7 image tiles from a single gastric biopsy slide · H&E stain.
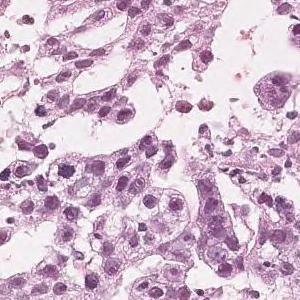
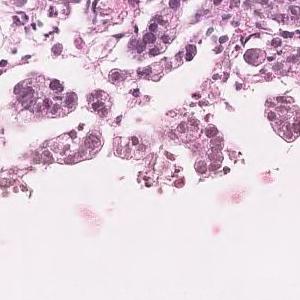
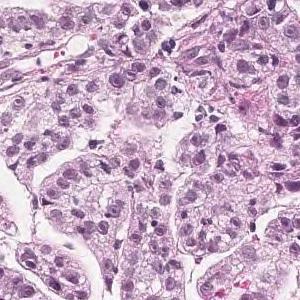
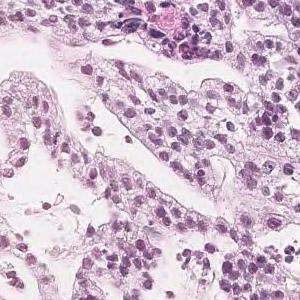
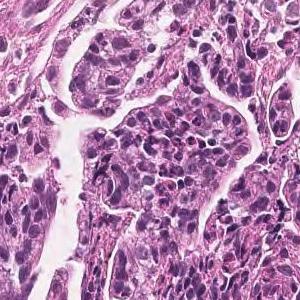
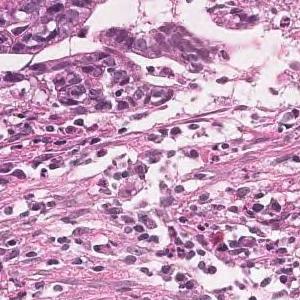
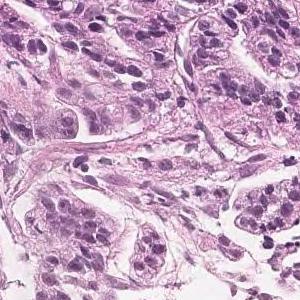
The pathologist's report on the biopsy slide these tiles were taken from. The report and the diagnosis cover the entire slide, so not every feature they name need be visible here, and some tissue shown may not be tumor.
Tumor tissue in which highly columnar atypical epithelial cells with nuclear enlargement and increased nuclear chromatin show papillary to papillary ductal structure and proliferate is observed. Papillary adenocarcinoma.
